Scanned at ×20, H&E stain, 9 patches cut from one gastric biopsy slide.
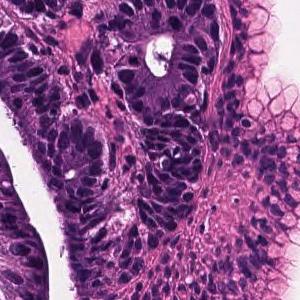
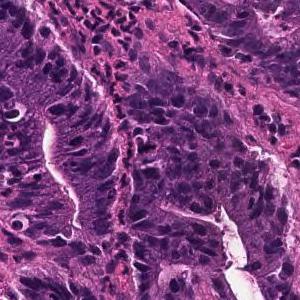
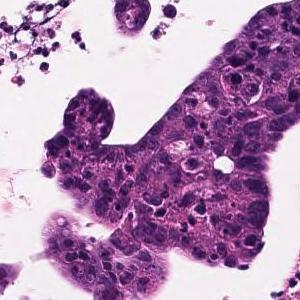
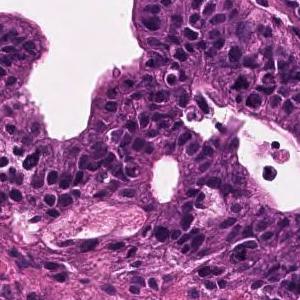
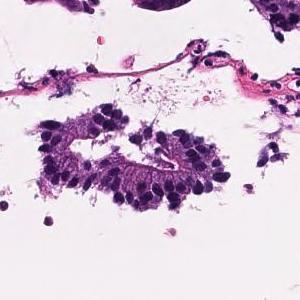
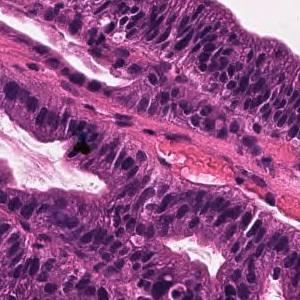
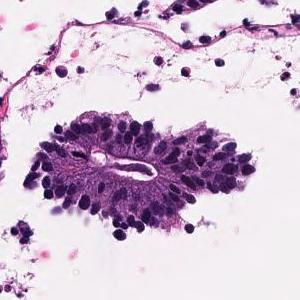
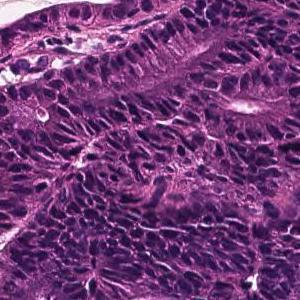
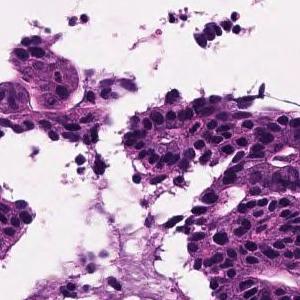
Pathology report for the biopsy slide these tiles were cut from. The findings and the diagnosis refer to the entire slide; these tiles show only part of it, possibly with non-tumor tissue, and may not show every feature named.
Tumor tissue that remains within the superficial epithelium and is infiltrated by large papillary or irregular ducts that fuse with each other is observed. Well differentiated tubular adenocarcinoma
